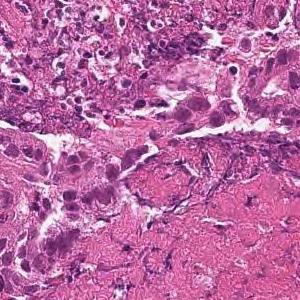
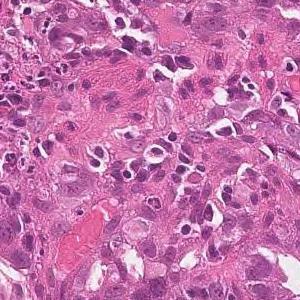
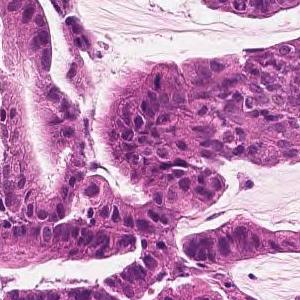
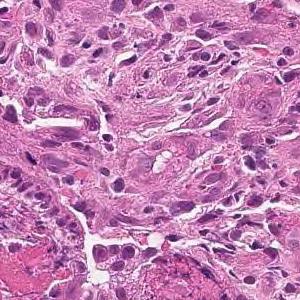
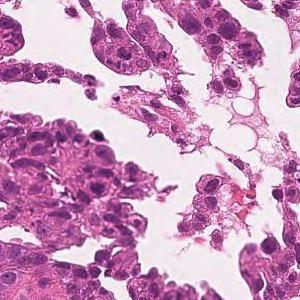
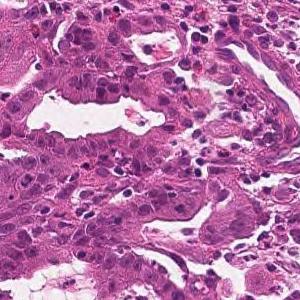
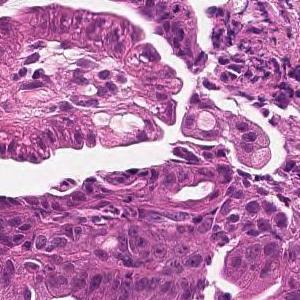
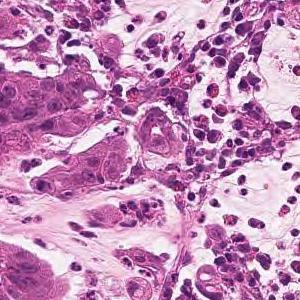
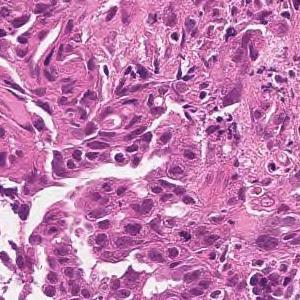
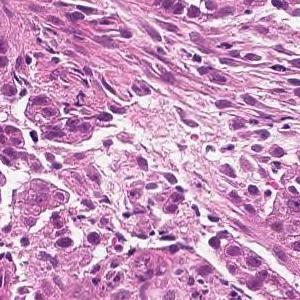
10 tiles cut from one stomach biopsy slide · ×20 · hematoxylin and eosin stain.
Diagnostic report for the slide these tiles come from. The report and the diagnosis describe the slide as a whole, so these tiles may not show every feature named and may include non-tumor tissue.
Tumor tissue consisting of large papillary structures is found in the superficial epithelium. Papillary adenocarcinoma.
